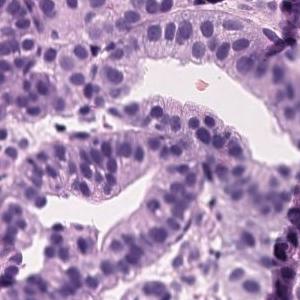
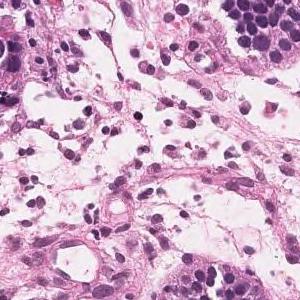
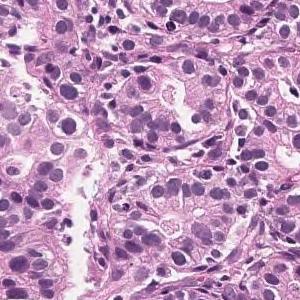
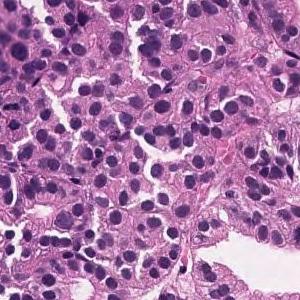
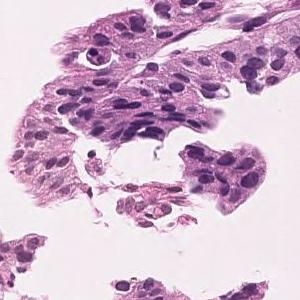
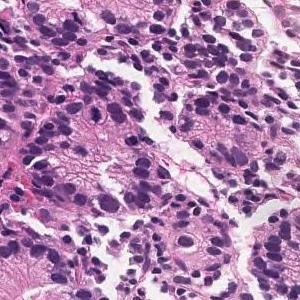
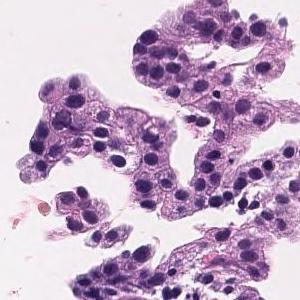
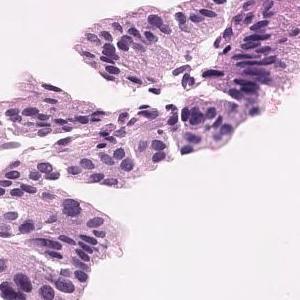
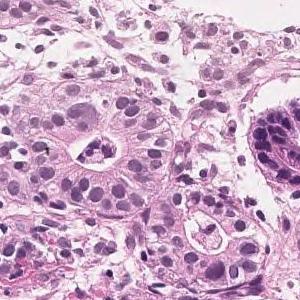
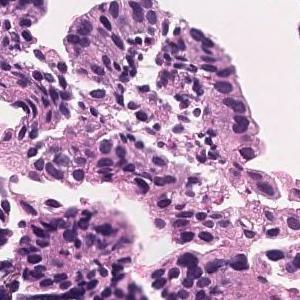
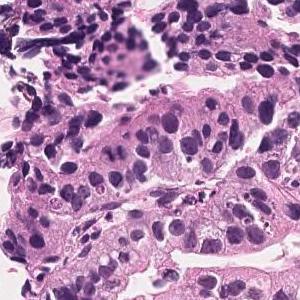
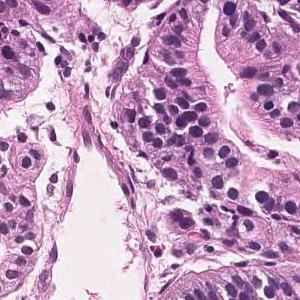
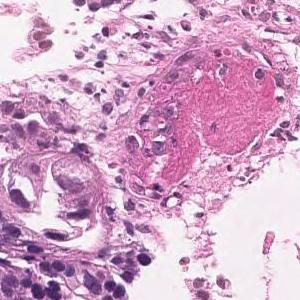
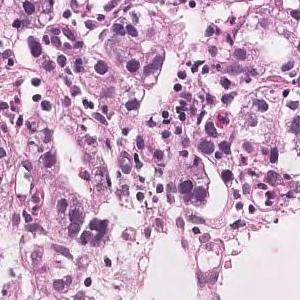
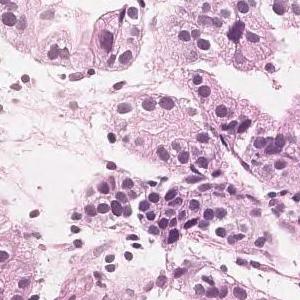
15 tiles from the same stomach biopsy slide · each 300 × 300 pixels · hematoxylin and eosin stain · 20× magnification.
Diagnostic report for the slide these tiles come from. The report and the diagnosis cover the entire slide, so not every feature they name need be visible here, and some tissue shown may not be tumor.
In the superficial epithelium, tumor tissue that invades by forming medium-sized to small, irregular ducts is observed. moderately differentiated tubular adenocarcinoma.
